16 image tiles from a single gastric biopsy slide, each 300 × 300 pixels, hematoxylin and eosin stain, ×20.
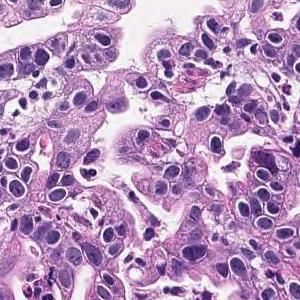
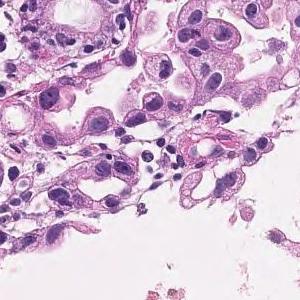
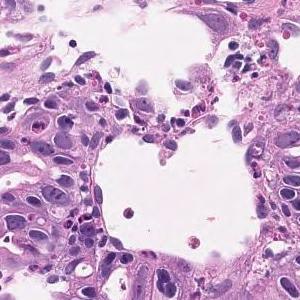
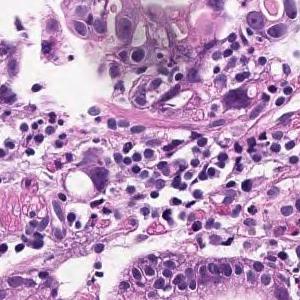
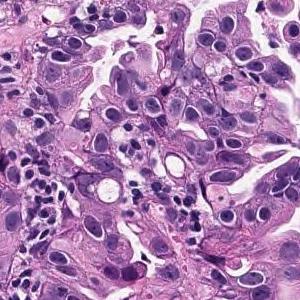
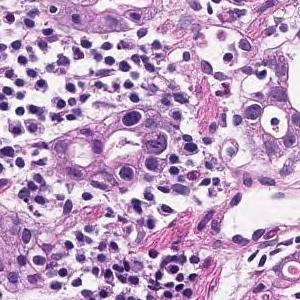
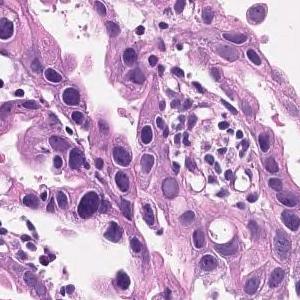
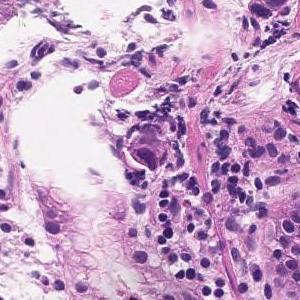
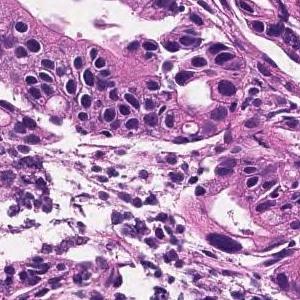
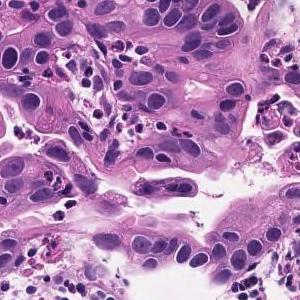
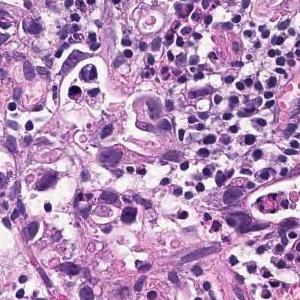
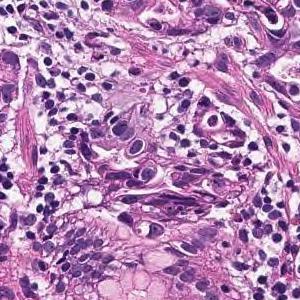
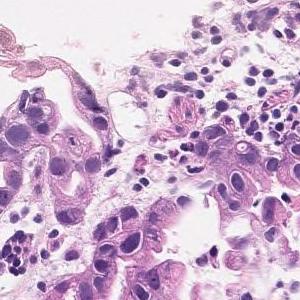
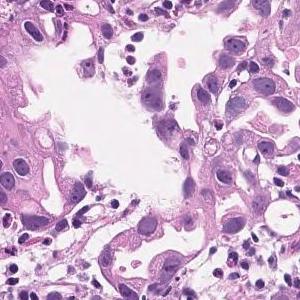
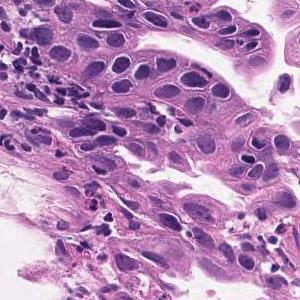
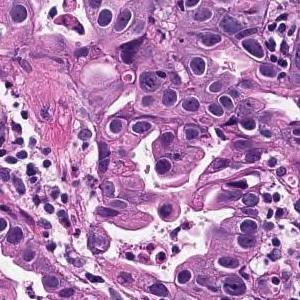
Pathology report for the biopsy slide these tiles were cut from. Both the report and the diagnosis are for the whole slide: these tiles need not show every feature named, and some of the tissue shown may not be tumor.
In the superficial epithelium, tumor tissue that invades by forming medium-sized to small, irregular ducts is observed. moderately differentiated tubular adenocarcinoma.
